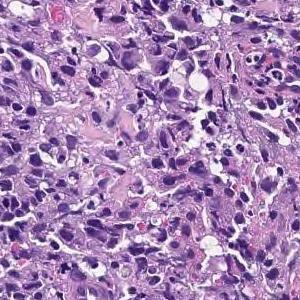
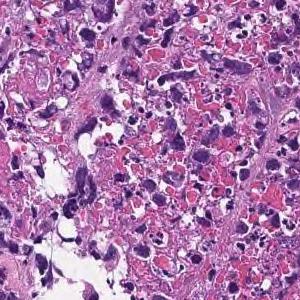
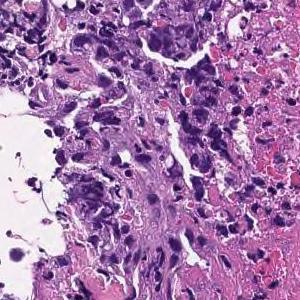
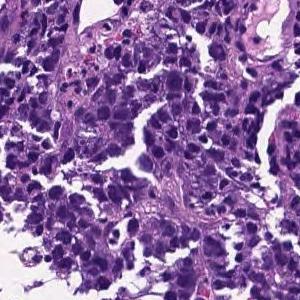
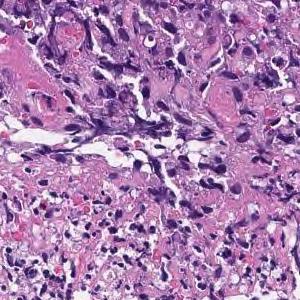
H&E, 20× magnification, 5 image tiles from a single gastric biopsy slide, 300×300 px each.
Pathology report for the biopsy slide these tiles were cut from. The findings and the diagnosis refer to the entire slide; these tiles show only part of it, possibly with non-tumor tissue, and may not show every feature named.
Most are composed of coagulative necrotic tissue, but some show a large sheet-like shape, and some show tumor tissue infiltrating with a small cord-like structure. Poorly differentiated adenocarcinoma, solid-type
Tumor subtype: poorly differentiated adenocarcinoma, solid type, a category of the Japanese Classification of Gastric Carcinoma; in the WHO 2019 classification it is tubular adenocarcinoma, poorly differentiated.
